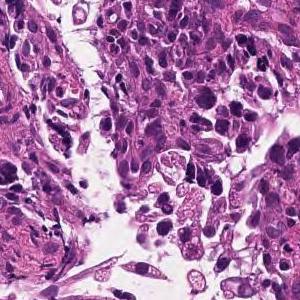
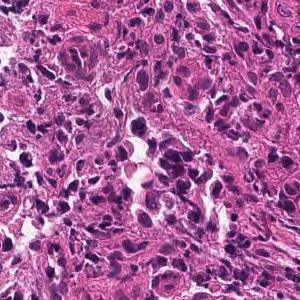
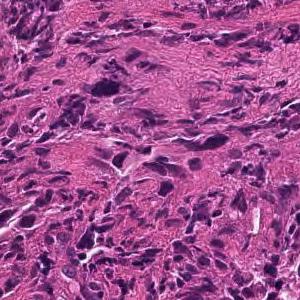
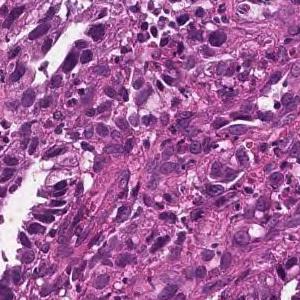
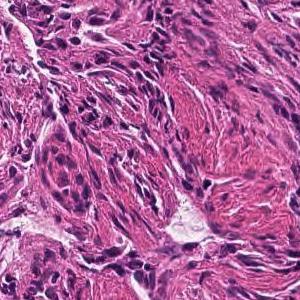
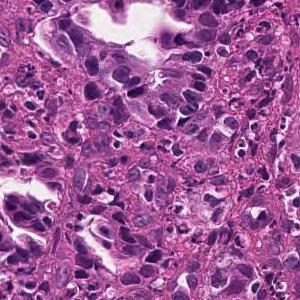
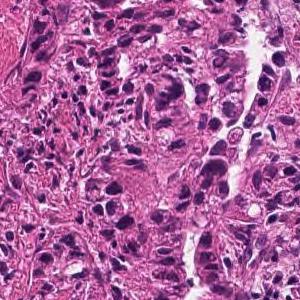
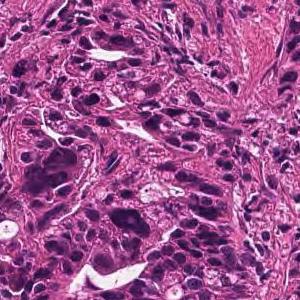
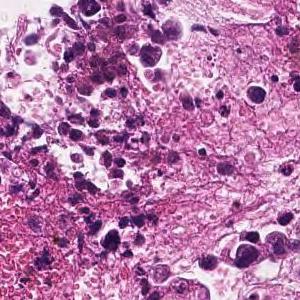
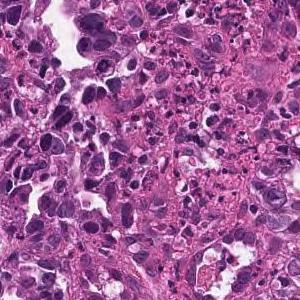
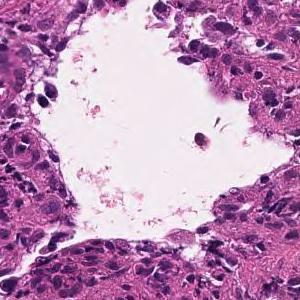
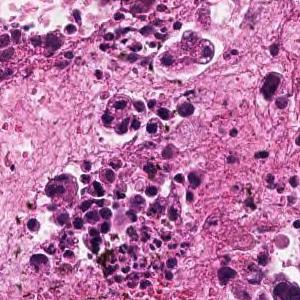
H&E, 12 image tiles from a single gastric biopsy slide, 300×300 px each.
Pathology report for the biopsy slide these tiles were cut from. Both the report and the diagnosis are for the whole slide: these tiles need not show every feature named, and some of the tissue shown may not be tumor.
In the superficial epithelium, tumor tissue that invades by forming medium-sized to small, irregular ducts is observed. moderately differentiated tubular adenocarcinoma.
